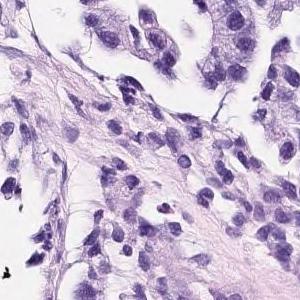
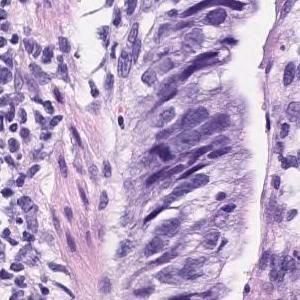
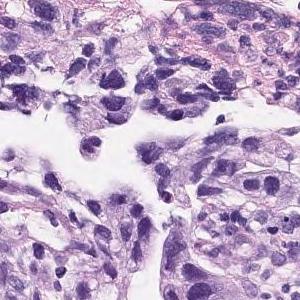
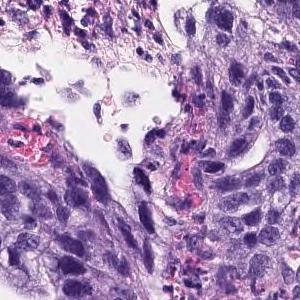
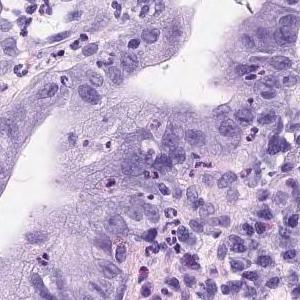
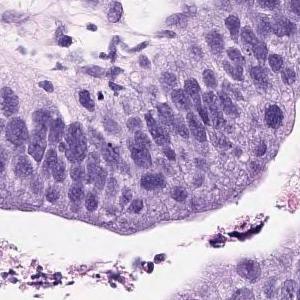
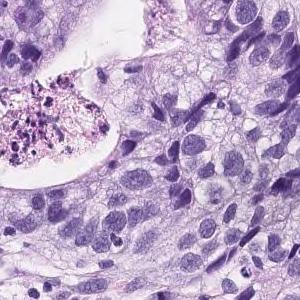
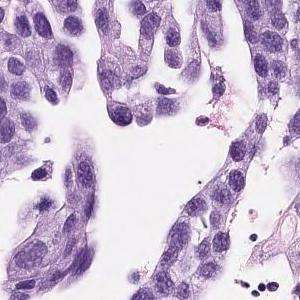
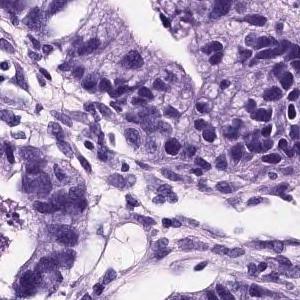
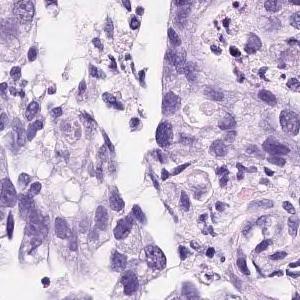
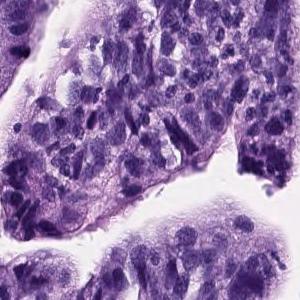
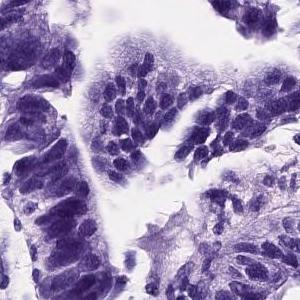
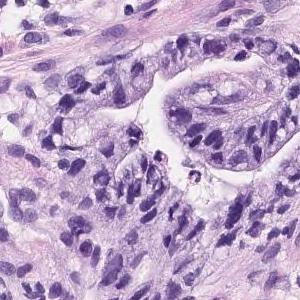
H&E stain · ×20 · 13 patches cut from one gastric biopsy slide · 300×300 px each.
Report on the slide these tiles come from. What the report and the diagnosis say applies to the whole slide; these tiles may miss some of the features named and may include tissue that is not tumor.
On the superficial epithelium, tumor tissue consisting of medium to small irregular tubules partially fused and proliferated is observed. moderately differentiated tubular adenocarcinoma
